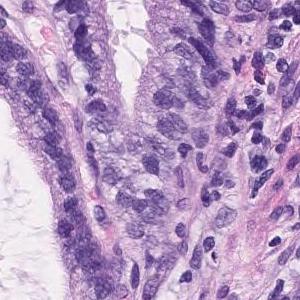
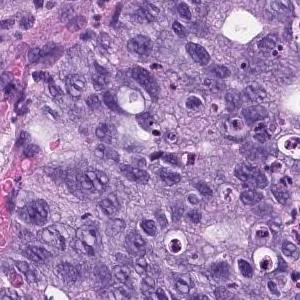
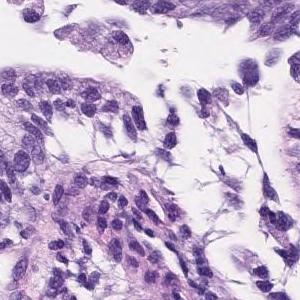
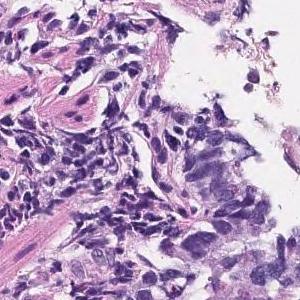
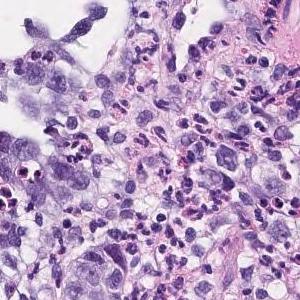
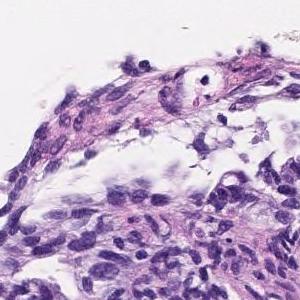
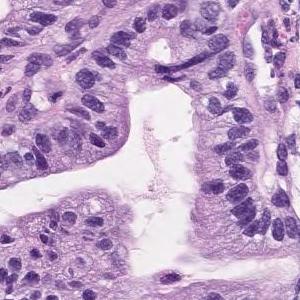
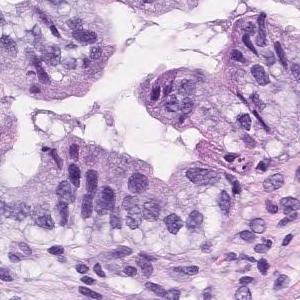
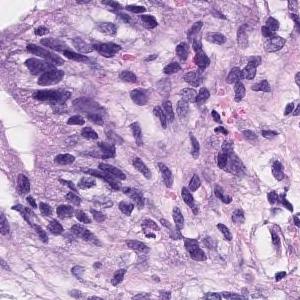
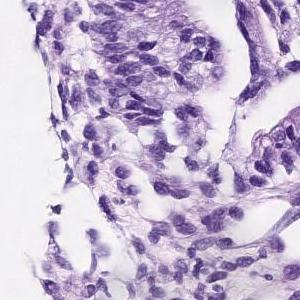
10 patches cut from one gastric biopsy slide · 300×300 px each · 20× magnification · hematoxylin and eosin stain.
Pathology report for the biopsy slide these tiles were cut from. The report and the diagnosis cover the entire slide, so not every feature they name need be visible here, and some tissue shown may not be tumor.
Tumor cells are large, highly columnar, large club-shaped nuclei, and are associated with chromatin aggregation. Papillary adenocarcinoma.
